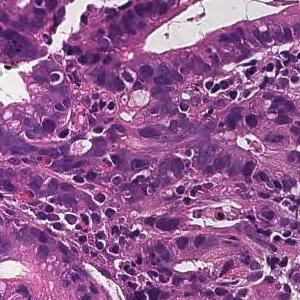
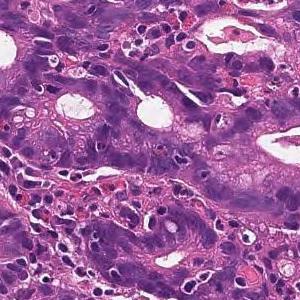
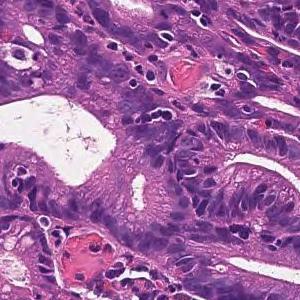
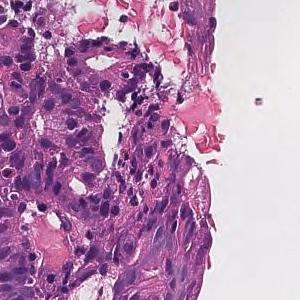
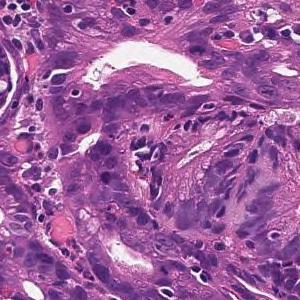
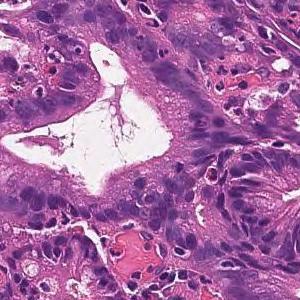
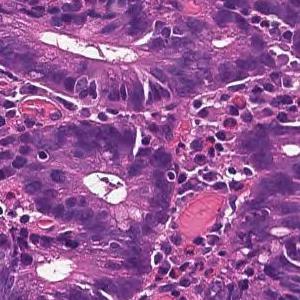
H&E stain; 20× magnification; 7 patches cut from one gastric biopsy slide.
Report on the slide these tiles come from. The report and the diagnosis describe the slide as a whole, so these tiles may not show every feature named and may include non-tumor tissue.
From the superficial epithelium to the muscularis mucosae, tumor tissue consisting of medium-sized and irregular glandular ducts infiltrating is observed. Well differentiated tubular adenocarcinoma
